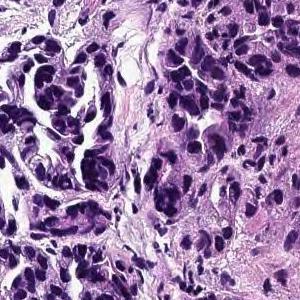
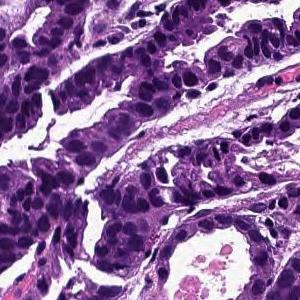
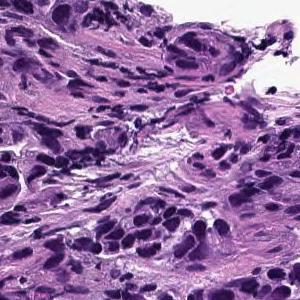
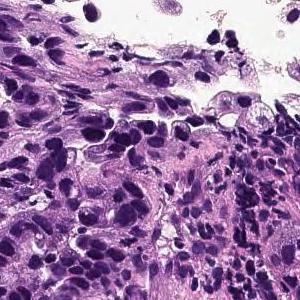
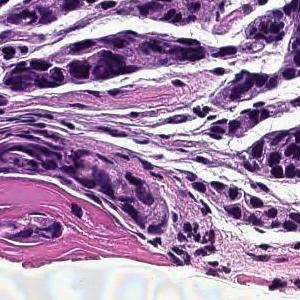
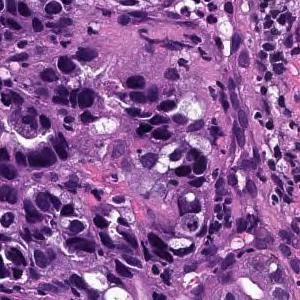
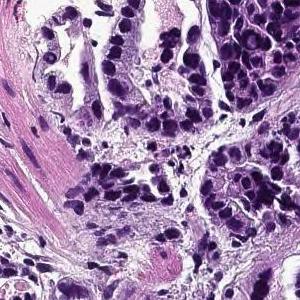
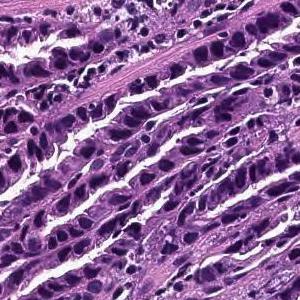
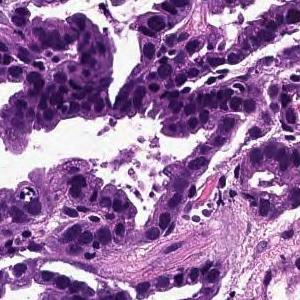
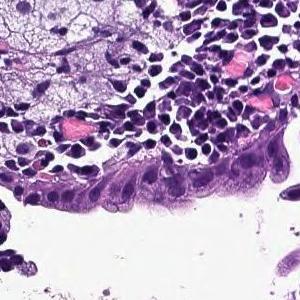
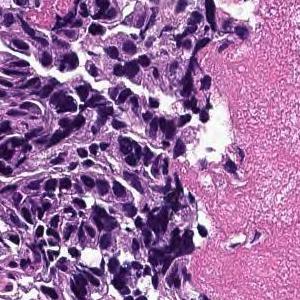
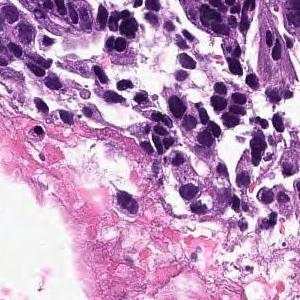
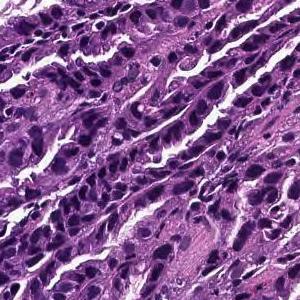
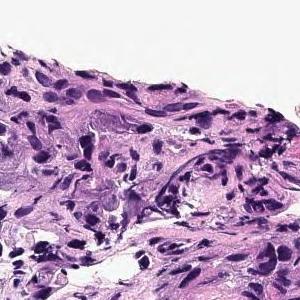
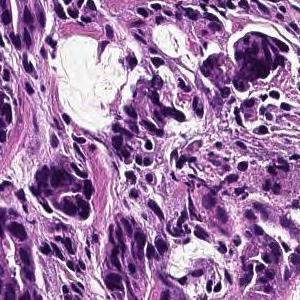
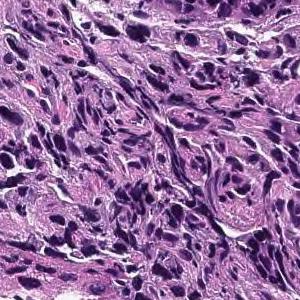
16 patches cut from one gastric biopsy slide · scanned at ×20 · hematoxylin and eosin stain.
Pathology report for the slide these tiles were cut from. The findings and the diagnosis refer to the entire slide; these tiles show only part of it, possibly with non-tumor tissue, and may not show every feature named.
Tumor cells are large, highly columnar, large club-shaped nuclei, and are associated with chromatin aggregation. Papillary adenocarcinoma.
